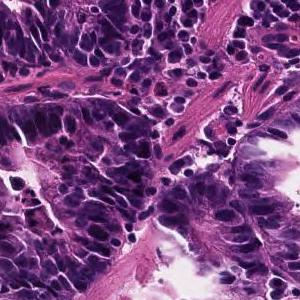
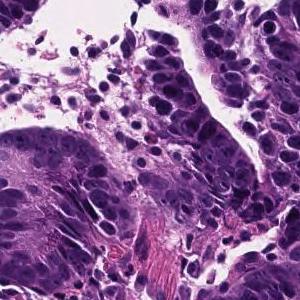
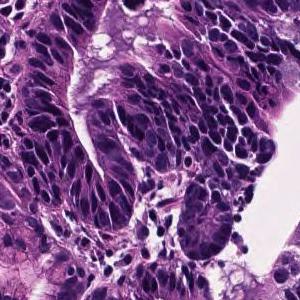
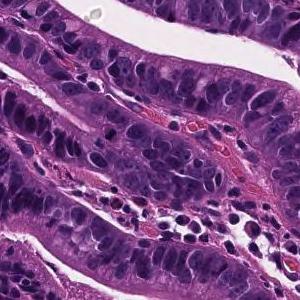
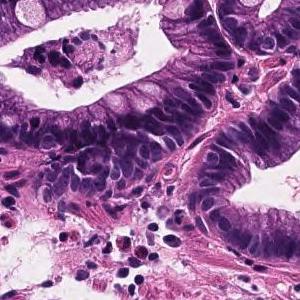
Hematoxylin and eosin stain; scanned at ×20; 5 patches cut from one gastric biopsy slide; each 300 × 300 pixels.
Pathology report for the biopsy slide these tiles were cut from. What the report and the diagnosis say applies to the whole slide; these tiles may miss some of the features named and may include tissue that is not tumor.
On the superficial epithelium, tumor tissue consisting of growth of medium-sized to large-sized, round or irregular glandular ducts is observed. Well differentiated tubular adenocarcinoma
